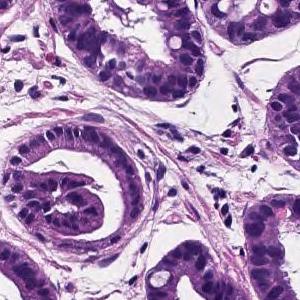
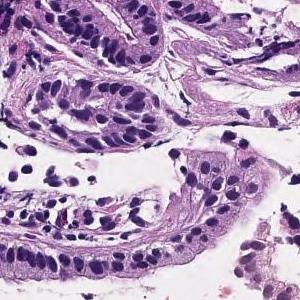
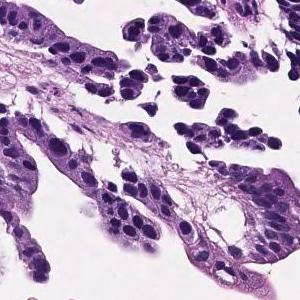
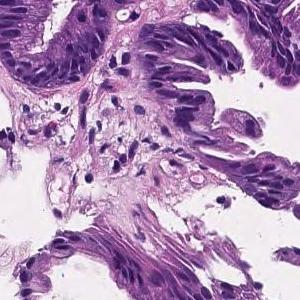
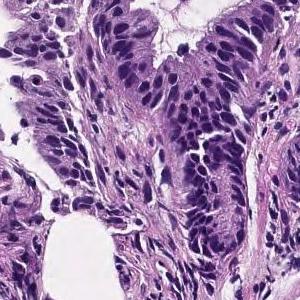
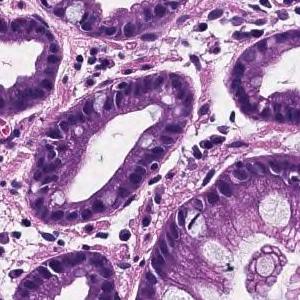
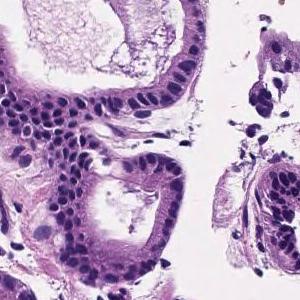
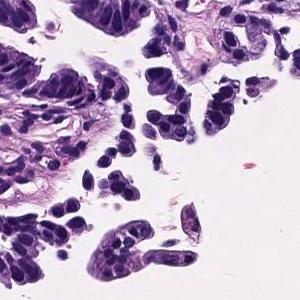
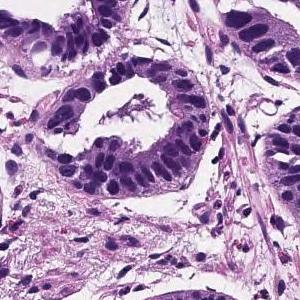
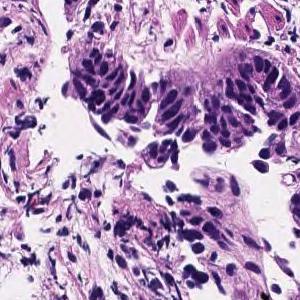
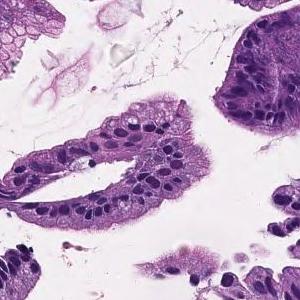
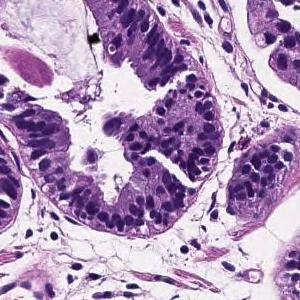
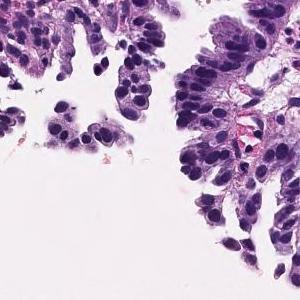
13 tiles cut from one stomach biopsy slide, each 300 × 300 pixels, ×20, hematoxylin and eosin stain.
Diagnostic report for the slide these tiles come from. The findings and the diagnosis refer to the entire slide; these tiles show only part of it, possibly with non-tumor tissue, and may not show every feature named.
Tumor cells are large, highly columnar, large club-shaped nuclei, and are associated with chromatin aggregation. Papillary adenocarcinoma.
